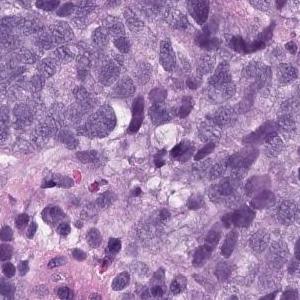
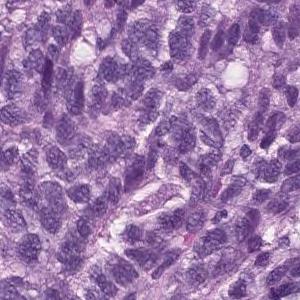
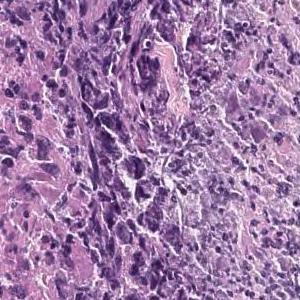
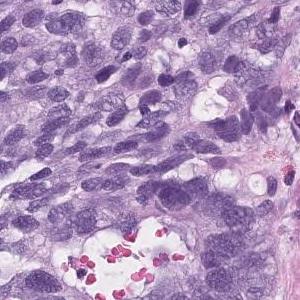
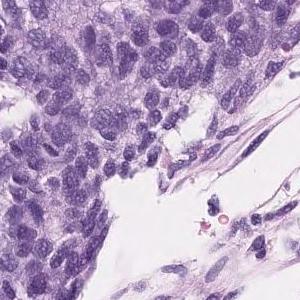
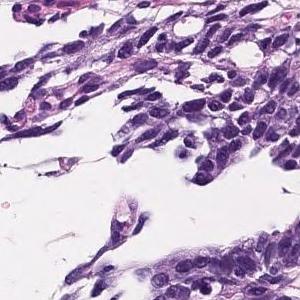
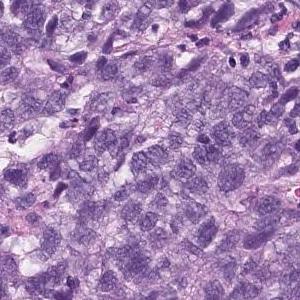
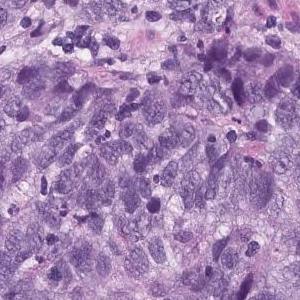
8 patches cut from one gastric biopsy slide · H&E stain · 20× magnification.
Pathology report for the slide these tiles were cut from. The report and the diagnosis cover the entire slide, so not every feature they name need be visible here, and some tissue shown may not be tumor.
Epithelial cells with swollen nuclei with atypia invasively proliferating while forming vesicles is observed. Poorly differentiated adenocarcinoma
Histologic type: Poorly differentiated adenocarcinoma, solid type (Japanese Classification of Gastric Carcinoma). The WHO 2019 equivalent is tubular adenocarcinoma, poorly differentiated.
